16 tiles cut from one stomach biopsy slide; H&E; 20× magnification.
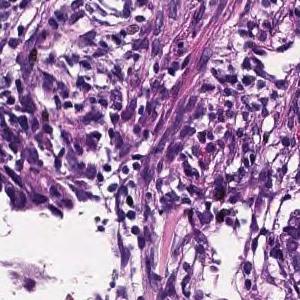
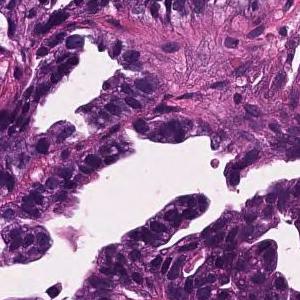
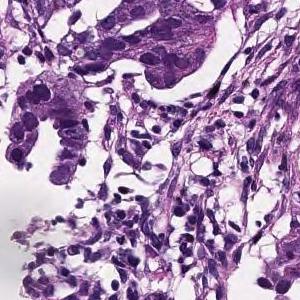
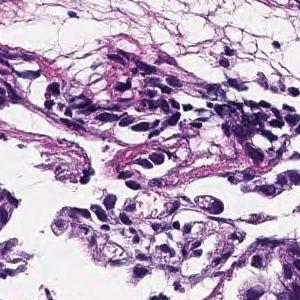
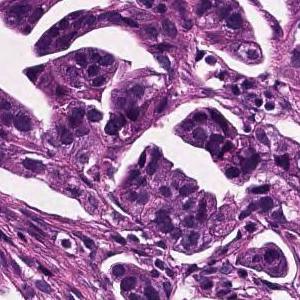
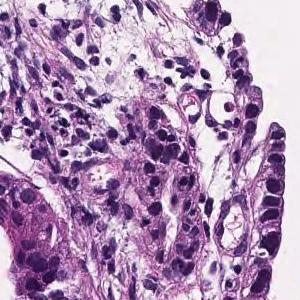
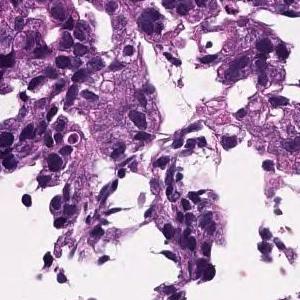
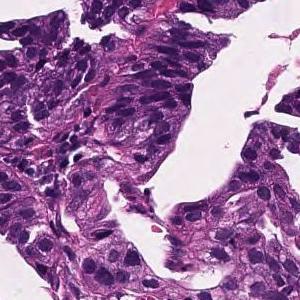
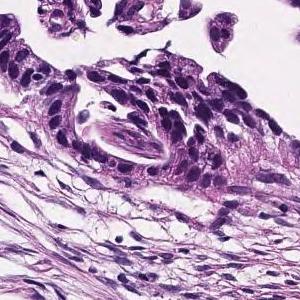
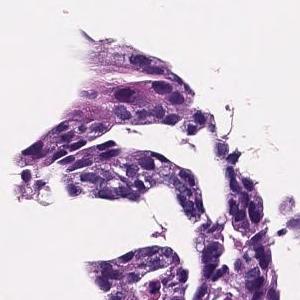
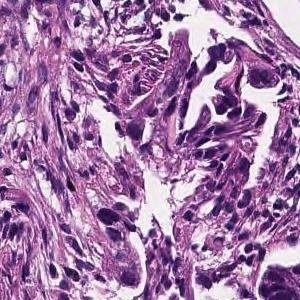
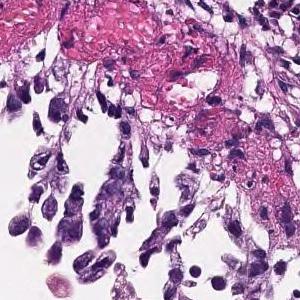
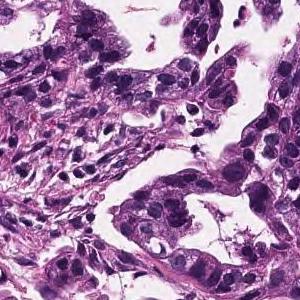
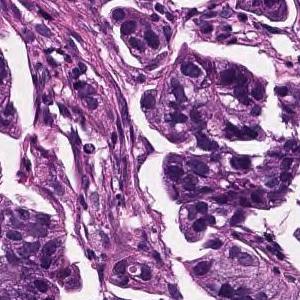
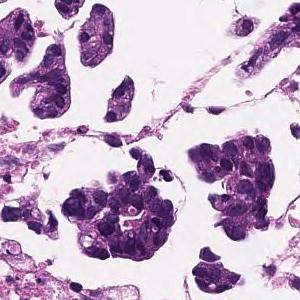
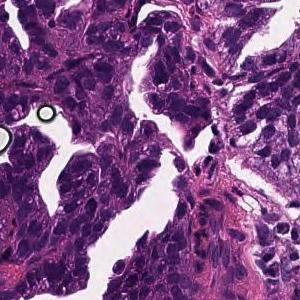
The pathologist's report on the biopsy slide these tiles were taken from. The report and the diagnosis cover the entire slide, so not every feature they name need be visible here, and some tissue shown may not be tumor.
In the lamina propria, tumor tissue that invades by forming medium-sized to small, irregular glandular ducts is observed. moderately differentiated tubular adenocarcinoma
